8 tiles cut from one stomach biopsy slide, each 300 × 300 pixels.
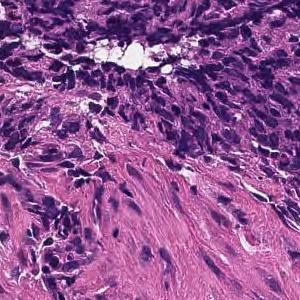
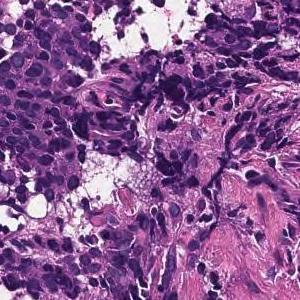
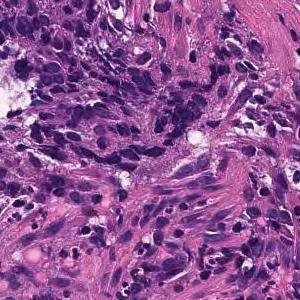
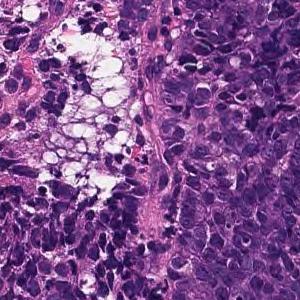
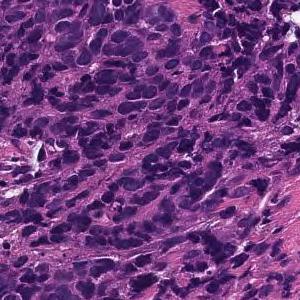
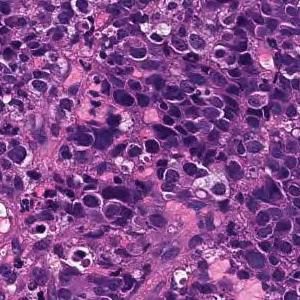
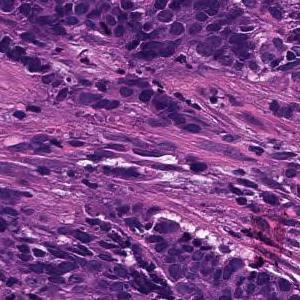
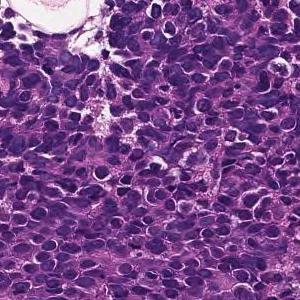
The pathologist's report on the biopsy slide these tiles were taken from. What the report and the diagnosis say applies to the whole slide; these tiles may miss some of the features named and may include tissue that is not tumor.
Large sheet-like or diffusely infiltrating tumor tissue is found in the superficial epithelium. Poorly differentiated adenocarcinoma, solid-type
Histologic type: Poorly differentiated adenocarcinoma, solid type, a category of the Japanese Classification of Gastric Carcinoma; in the WHO 2019 classification it is tubular adenocarcinoma, poorly differentiated.
